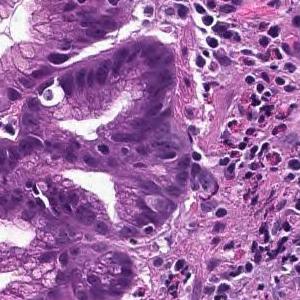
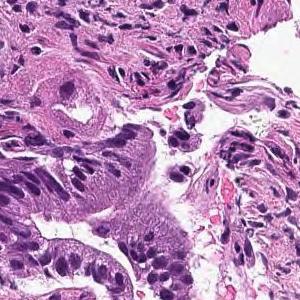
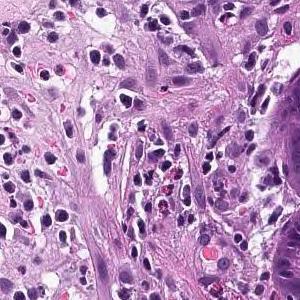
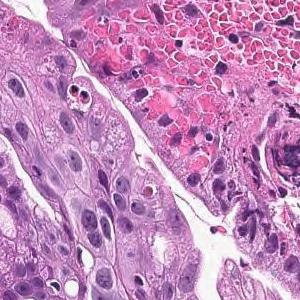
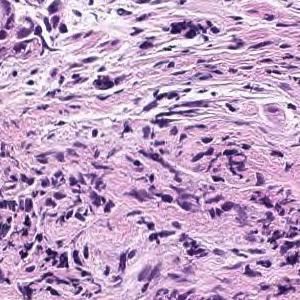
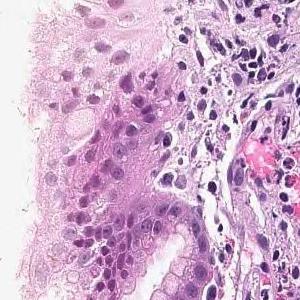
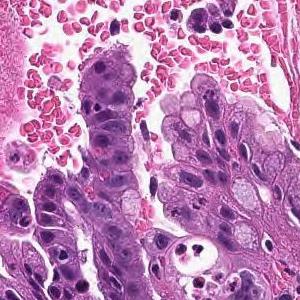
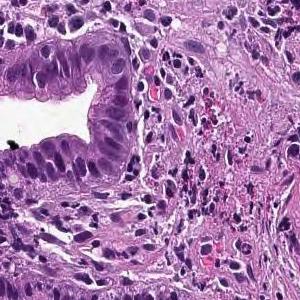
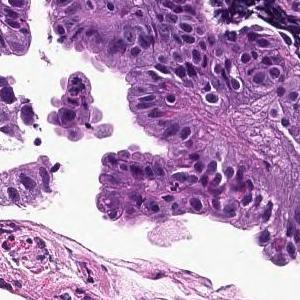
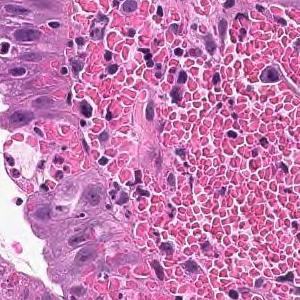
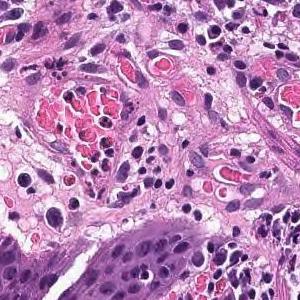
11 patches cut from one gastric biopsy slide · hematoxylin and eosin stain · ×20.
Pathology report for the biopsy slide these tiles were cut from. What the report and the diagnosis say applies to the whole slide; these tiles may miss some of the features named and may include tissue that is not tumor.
In the superficial epithelium, tumor tissue that invades by forming medium-sized to small, irregular ducts is observed. moderately differentiated tubular adenocarcinoma.
